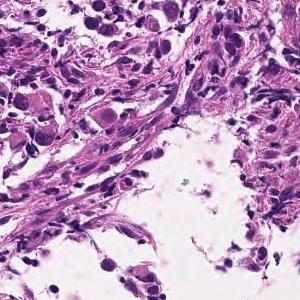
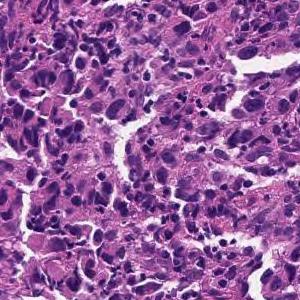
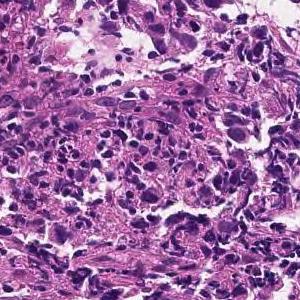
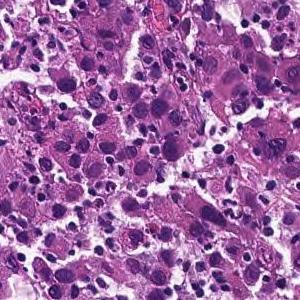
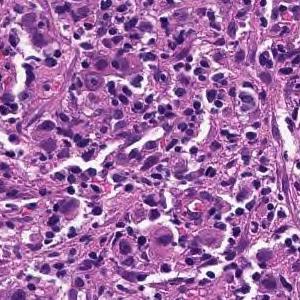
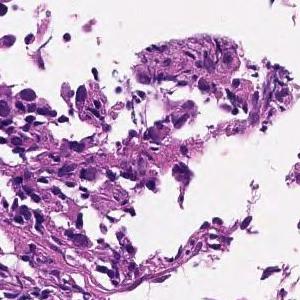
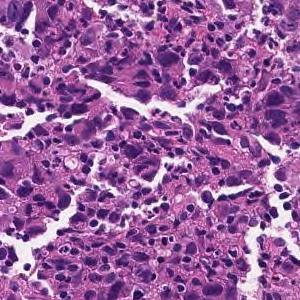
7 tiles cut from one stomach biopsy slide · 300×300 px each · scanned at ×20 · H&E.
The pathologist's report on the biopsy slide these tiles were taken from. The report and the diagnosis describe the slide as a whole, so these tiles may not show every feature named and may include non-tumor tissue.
The superficial epithelium shows a large sheet-like shape, and some tumor tissue infiltrates with small irregular ducts. Poorly differentiated adenocarcinoma, solid-type (poorly differentiated adenocarcinoma, solid type)
Subtype: Poorly differentiated adenocarcinoma, solid type, a category of the Japanese Classification of Gastric Carcinoma; in the WHO 2019 classification it is tubular adenocarcinoma, poorly differentiated.
